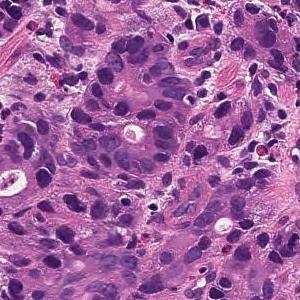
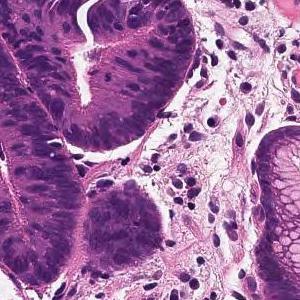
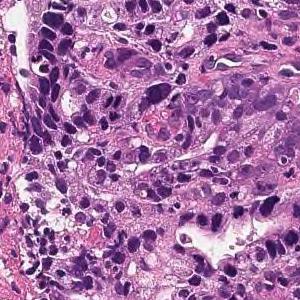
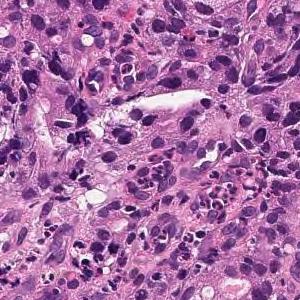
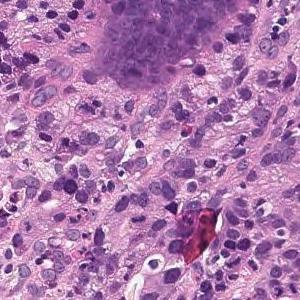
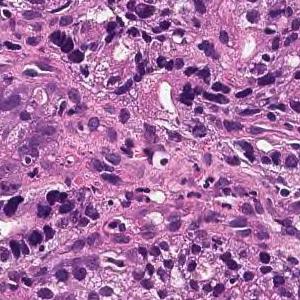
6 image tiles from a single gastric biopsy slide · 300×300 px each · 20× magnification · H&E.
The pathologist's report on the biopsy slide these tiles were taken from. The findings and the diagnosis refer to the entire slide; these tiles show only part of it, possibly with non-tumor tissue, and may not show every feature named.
In the superficial epithelium, medium to small irregular gland ducts are formed, and in some cases, the ducts are fused to show solid alveolar lesions and infiltrating tumor tissue is observed. moderately differentiated tubular adenocarcinoma or poorly differentiated adenocarcinoma, solid-type (poorly differentiated adenocarcinoma, solid type)
Dataset label: poorly differentiated adenocarcinoma, solid type, a category of the Japanese Classification of Gastric Carcinoma; in the WHO 2019 classification it is tubular adenocarcinoma, poorly differentiated.
